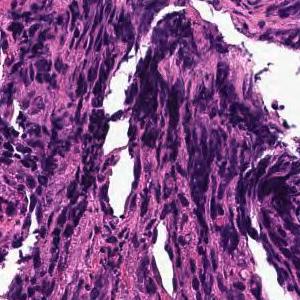
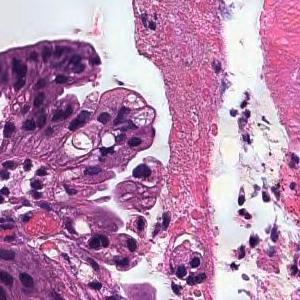
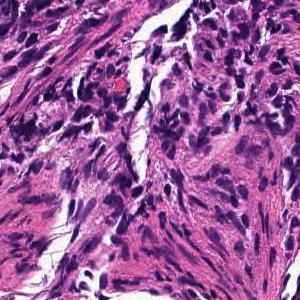
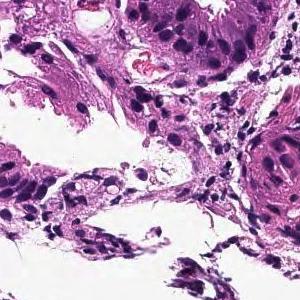
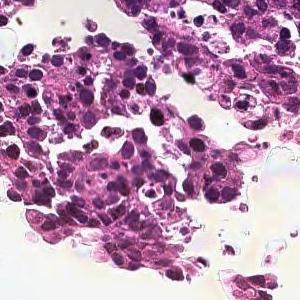
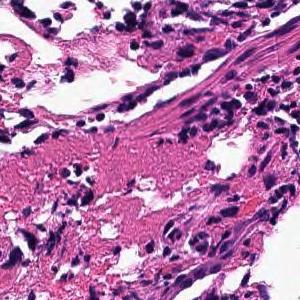
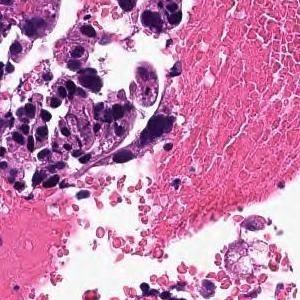
7 tiles from the same stomach biopsy slide · H&E · scanned at ×20.
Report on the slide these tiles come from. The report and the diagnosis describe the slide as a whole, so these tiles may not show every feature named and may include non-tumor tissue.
In the superficial epithelium, tumor tissue that invades by forming medium-sized to small, irregular ducts is observed. moderately differentiated tubular adenocarcinoma.
